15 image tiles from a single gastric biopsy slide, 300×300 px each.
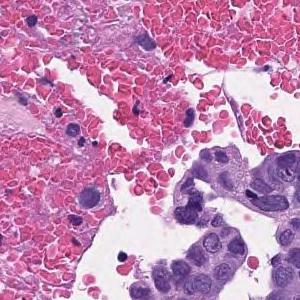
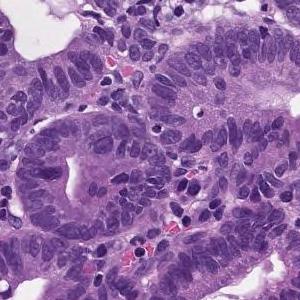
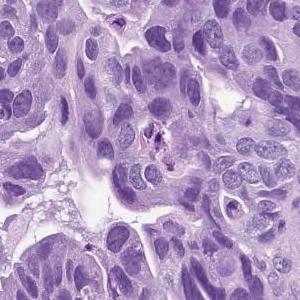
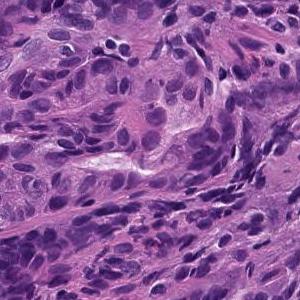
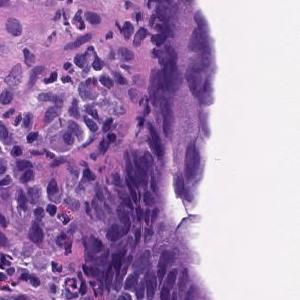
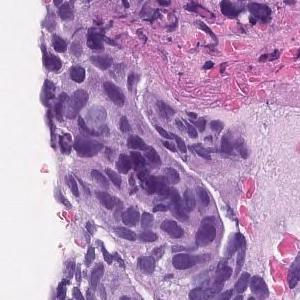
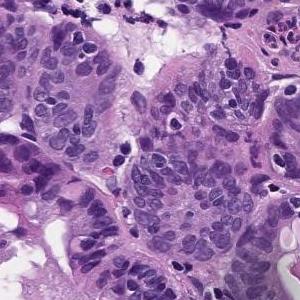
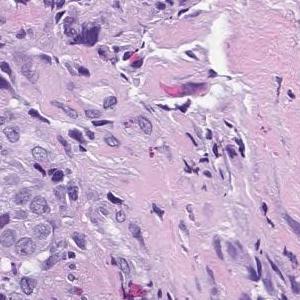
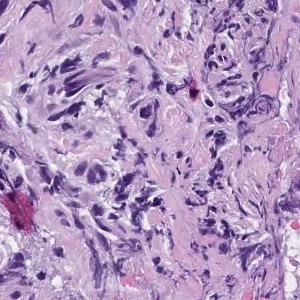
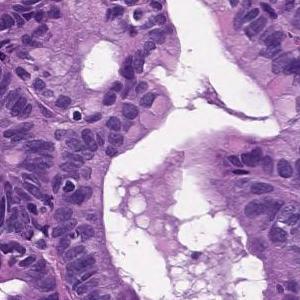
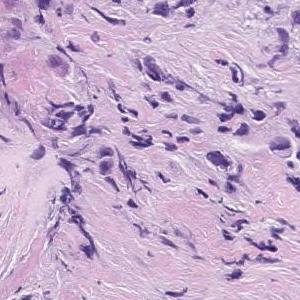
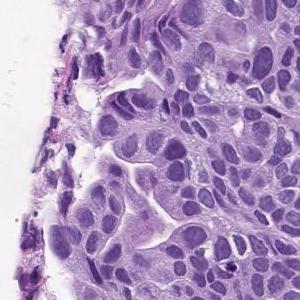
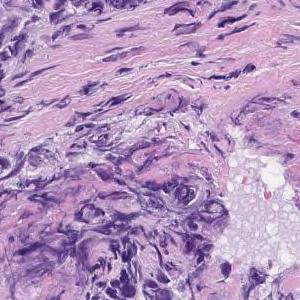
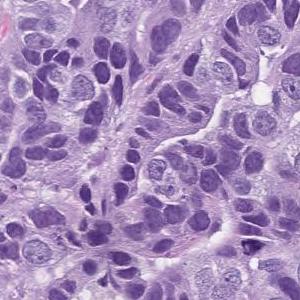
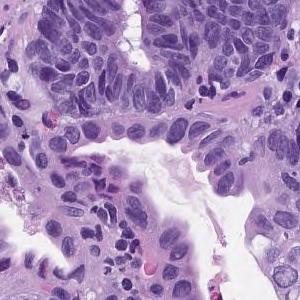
Pathology report for the slide these tiles were cut from. The report and the diagnosis cover the entire slide, so not every feature they name need be visible here, and some tissue shown may not be tumor.
In the superficial epithelium, tumor tissue that invades by forming medium-sized to small, irregular ducts is observed. moderately differentiated tubular adenocarcinoma.
